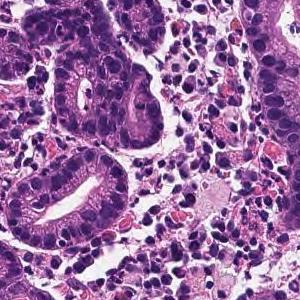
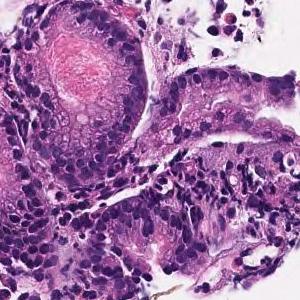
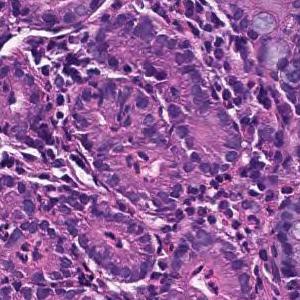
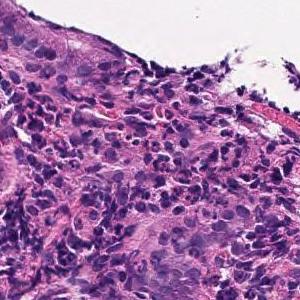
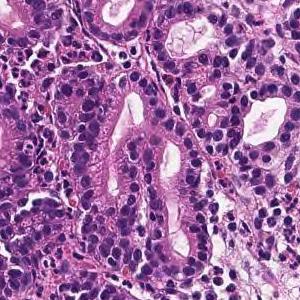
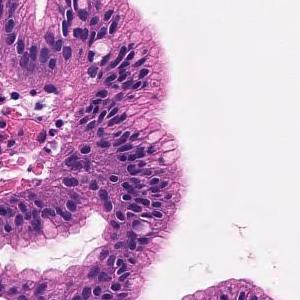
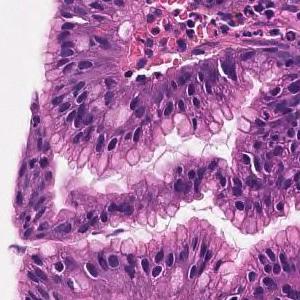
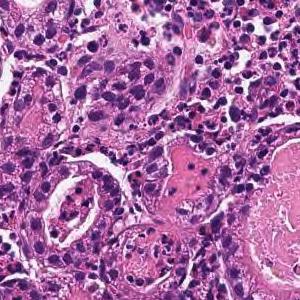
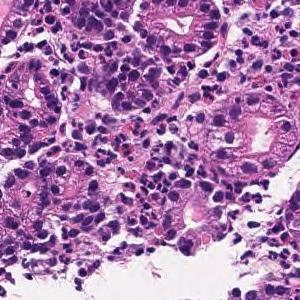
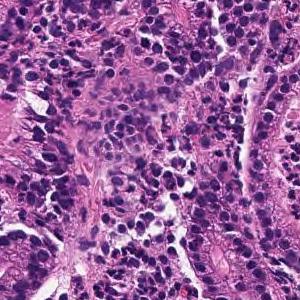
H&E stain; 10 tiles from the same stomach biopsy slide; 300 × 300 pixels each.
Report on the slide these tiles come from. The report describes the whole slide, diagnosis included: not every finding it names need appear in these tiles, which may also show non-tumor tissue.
Tumor tissue infiltrated and proliferated with small to medium-sized irregular tubules is observed in the superficial epithelium. Well differentiated tubular adenocarcinoma
